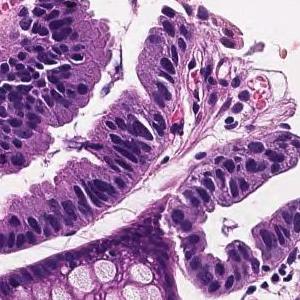
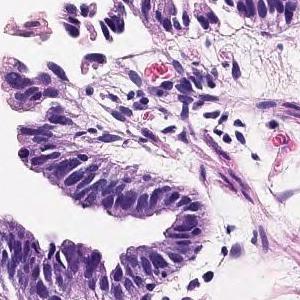
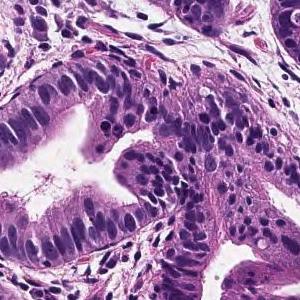
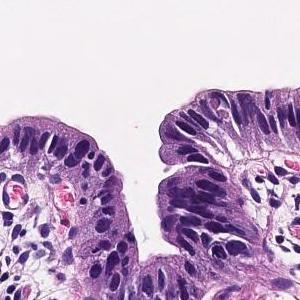
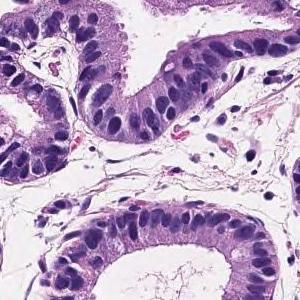
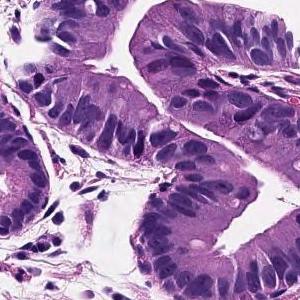
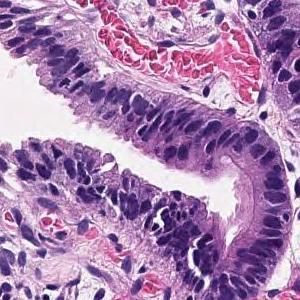
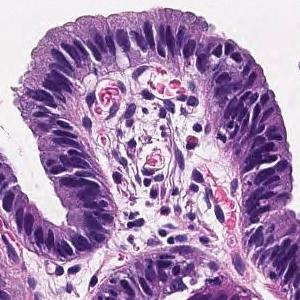
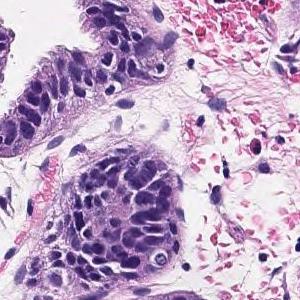
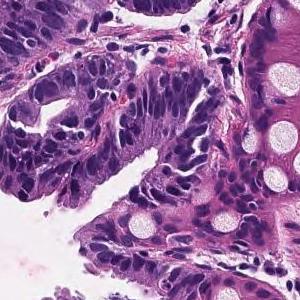
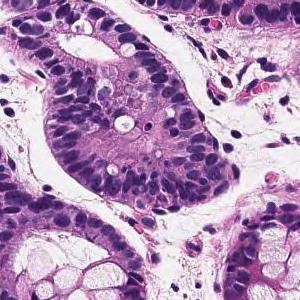
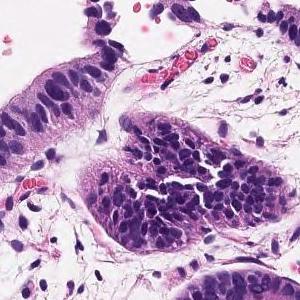
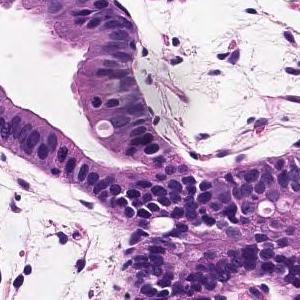
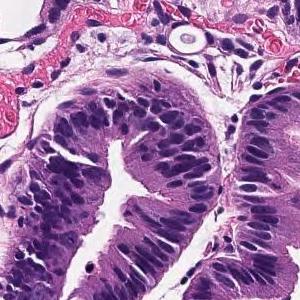
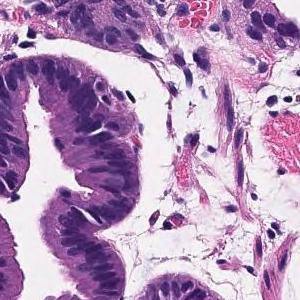
15 tiles from the same stomach biopsy slide; H&E stain; ×20.
Pathology report for the biopsy slide these tiles were cut from. The report describes the whole slide, diagnosis included: not every finding it names need appear in these tiles, which may also show non-tumor tissue.
Tumor cells are large, highly columnar, large club-shaped nuclei, and are associated with chromatin aggregation. Papillary adenocarcinoma.
